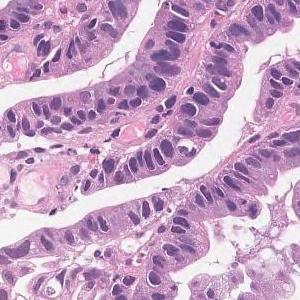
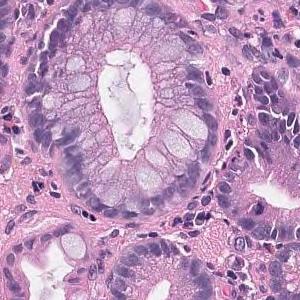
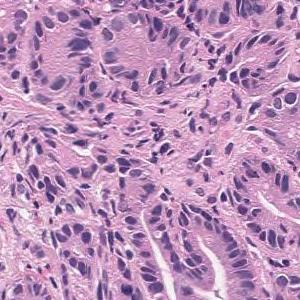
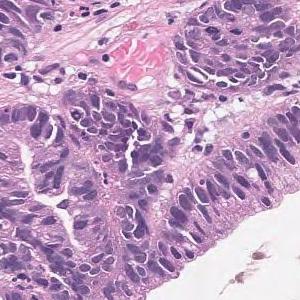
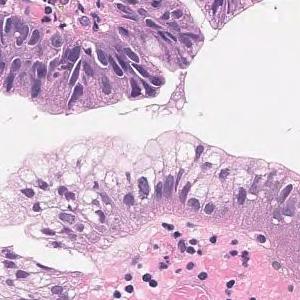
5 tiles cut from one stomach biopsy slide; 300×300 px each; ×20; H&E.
Diagnostic report for the slide these tiles come from. The findings and the diagnosis refer to the entire slide; these tiles show only part of it, possibly with non-tumor tissue, and may not show every feature named.
Tumor tissue that grows tubular from the surface to the glandular fossa is seen. Adenocarcinoma.
Histological subtype: Well differentiated tubular adenocarcinoma.
